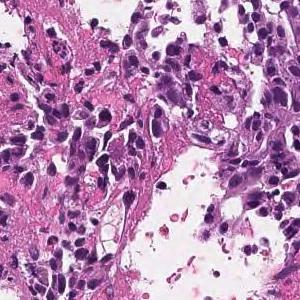
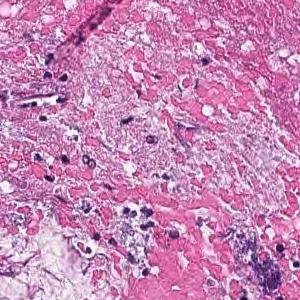
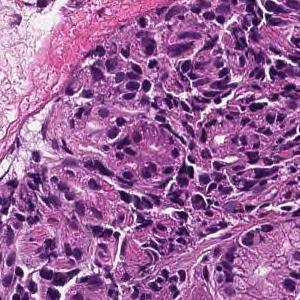
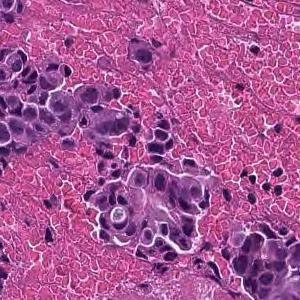
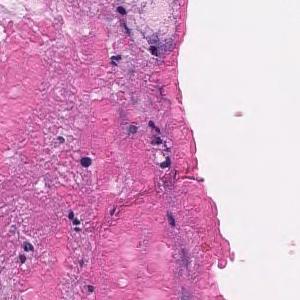
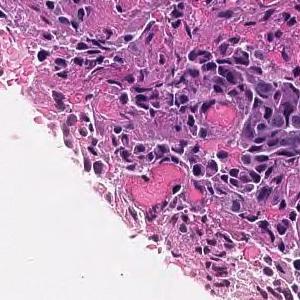
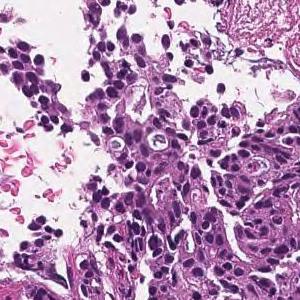
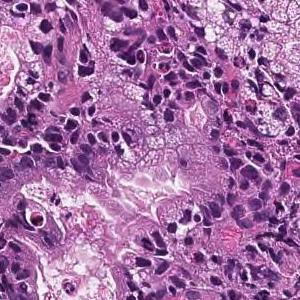
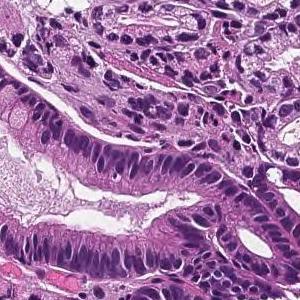
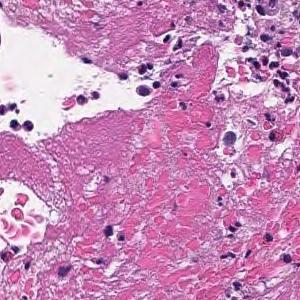
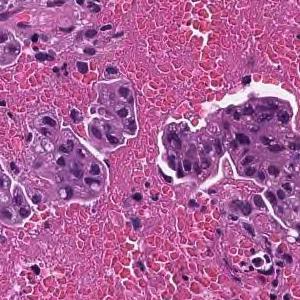
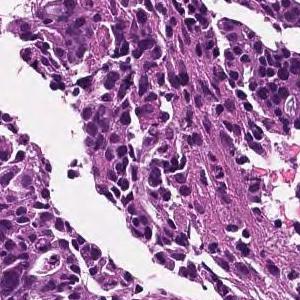
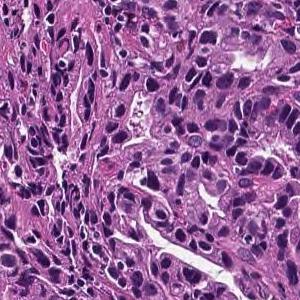
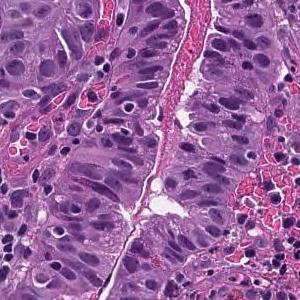
14 image tiles from a single gastric biopsy slide, each 300 × 300 pixels, ×20, hematoxylin and eosin stain.
Pathology report for the biopsy slide these tiles were cut from. The report describes the whole slide, diagnosis included: not every finding it names need appear in these tiles, which may also show non-tumor tissue.
On the superficial epithelium, tumor tissue that infiltrates by forming medium-sized papillary or small irregular ducts is observed. Papillary adenocarcinoma
